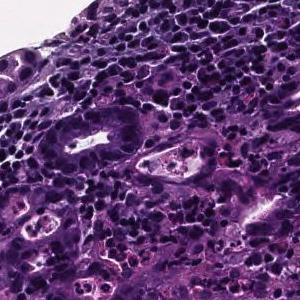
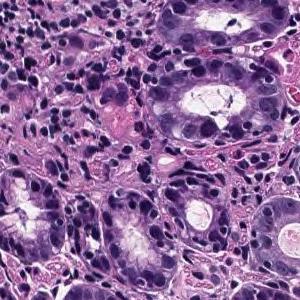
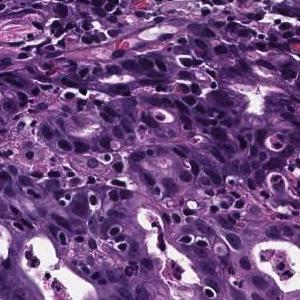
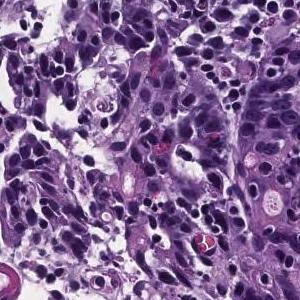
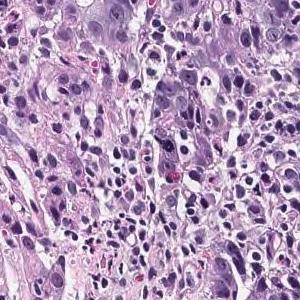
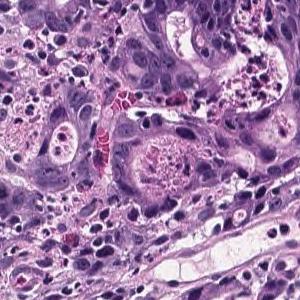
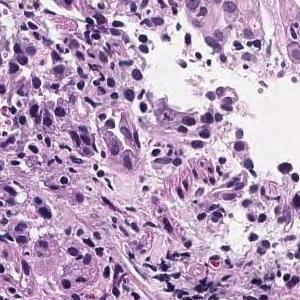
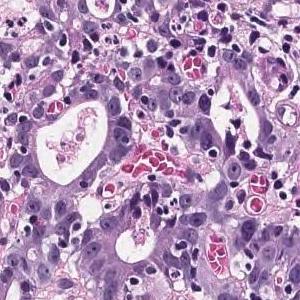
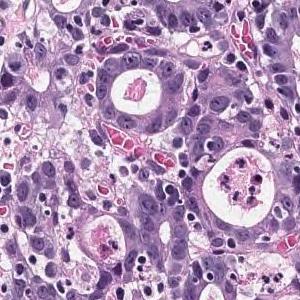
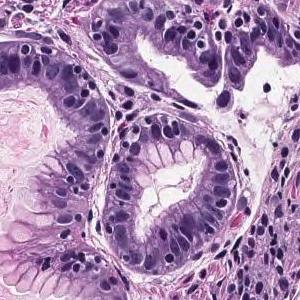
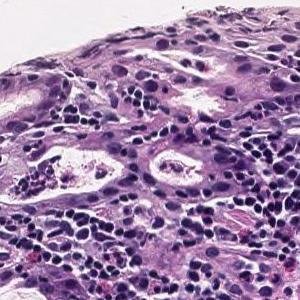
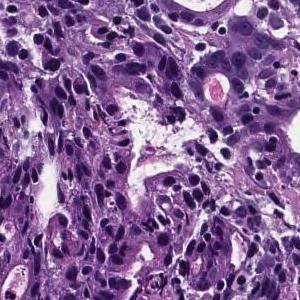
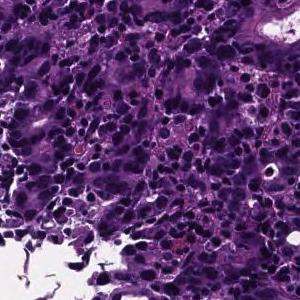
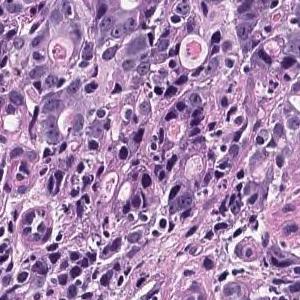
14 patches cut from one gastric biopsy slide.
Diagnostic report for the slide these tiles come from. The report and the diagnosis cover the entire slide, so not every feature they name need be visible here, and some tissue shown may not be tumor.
In the superficial epithelium, tumor tissue that invades by forming medium-sized to small, irregular ducts is observed. moderately differentiated tubular adenocarcinoma.
